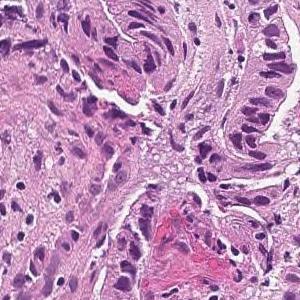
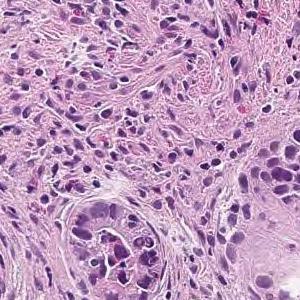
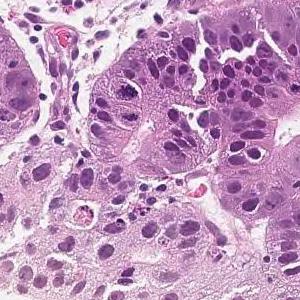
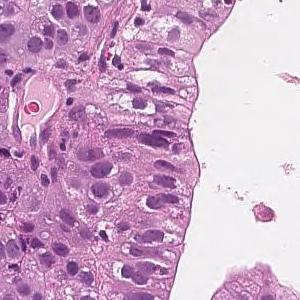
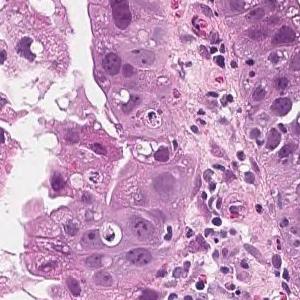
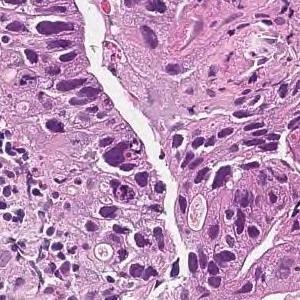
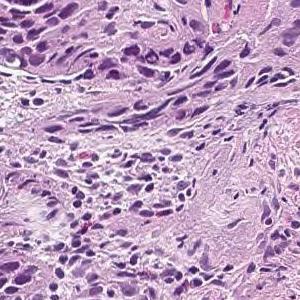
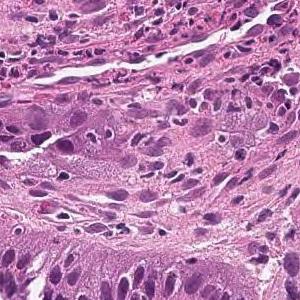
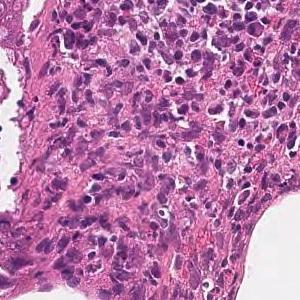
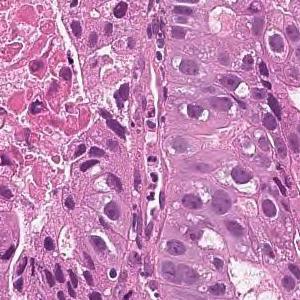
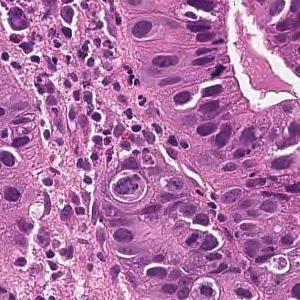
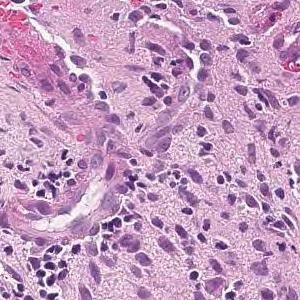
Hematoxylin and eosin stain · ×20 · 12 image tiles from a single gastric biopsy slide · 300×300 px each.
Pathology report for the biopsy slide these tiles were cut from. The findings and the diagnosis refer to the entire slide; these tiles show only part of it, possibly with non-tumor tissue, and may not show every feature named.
In the superficial epithelium, tumor tissue that invades by forming medium-sized to small, irregular ducts is observed. moderately differentiated tubular adenocarcinoma.
